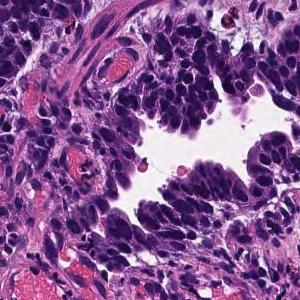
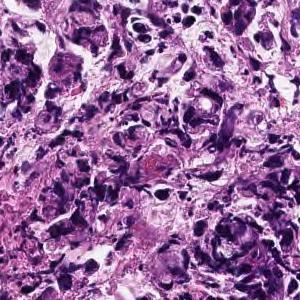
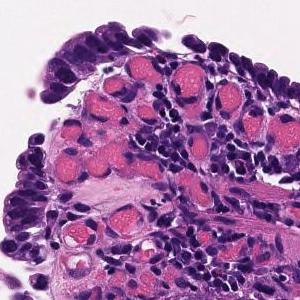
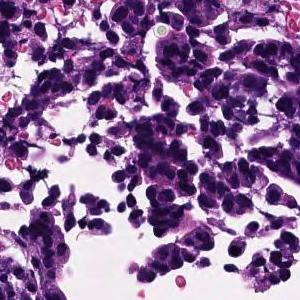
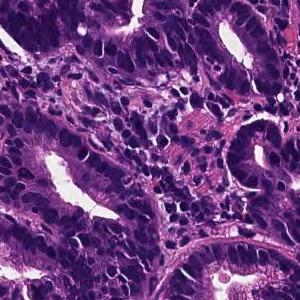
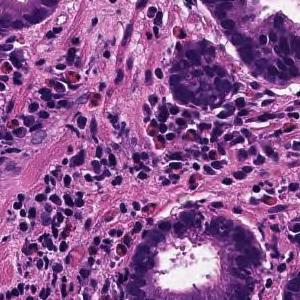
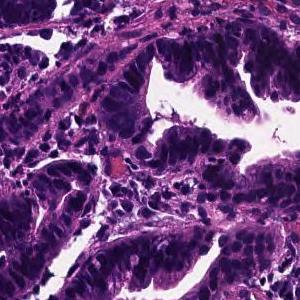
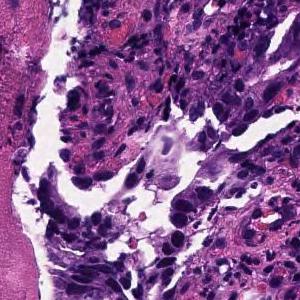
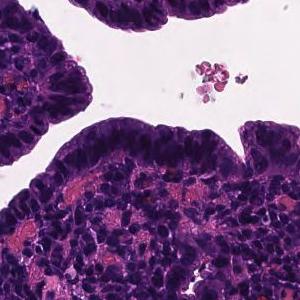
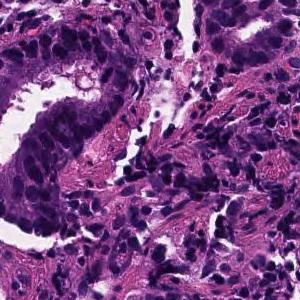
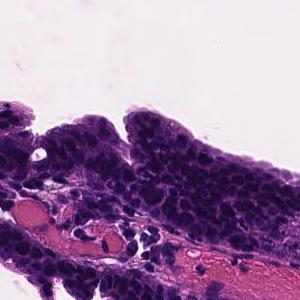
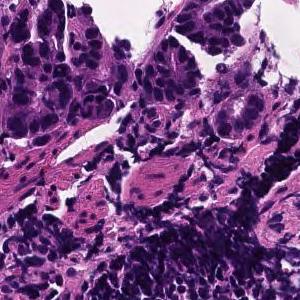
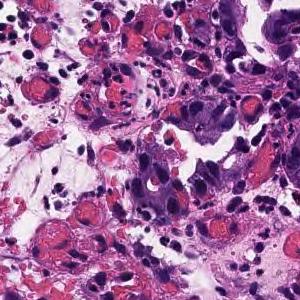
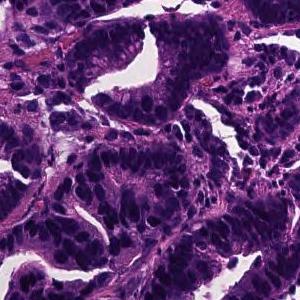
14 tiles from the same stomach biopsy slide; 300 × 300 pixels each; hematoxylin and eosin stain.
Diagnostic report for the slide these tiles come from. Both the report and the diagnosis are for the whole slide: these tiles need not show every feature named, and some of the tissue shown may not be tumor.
On the superficial epithelium, tumor tissue that infiltrates by forming medium-sized papillary or small irregular ducts is observed. Papillary adenocarcinoma
